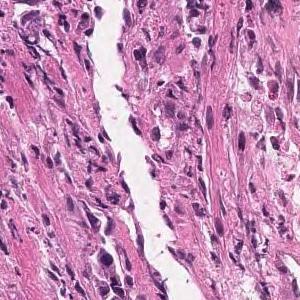
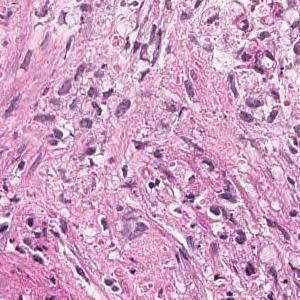
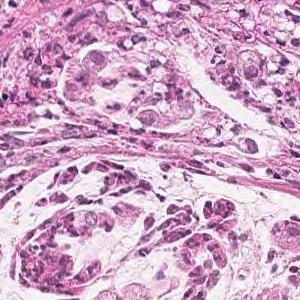
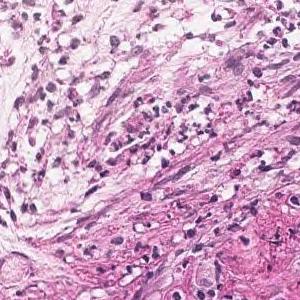
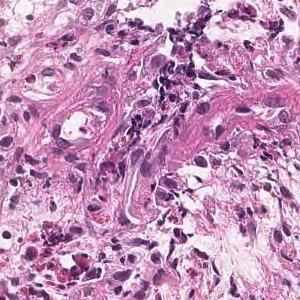
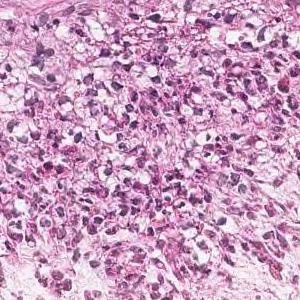
×20 · 6 image tiles from a single gastric biopsy slide.
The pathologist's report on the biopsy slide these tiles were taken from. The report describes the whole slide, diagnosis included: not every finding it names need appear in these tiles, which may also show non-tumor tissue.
Tumor tissue is observed in which atypical epithelial cells with mucus in the vesicles proliferate while being isolated. Signet ring cell carcinoma
